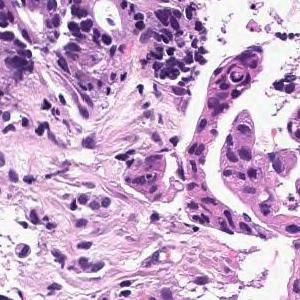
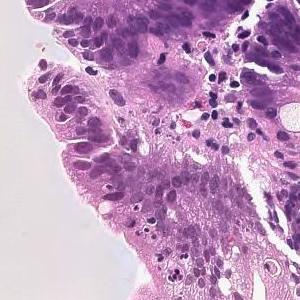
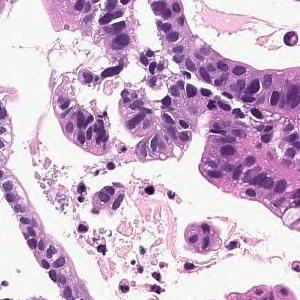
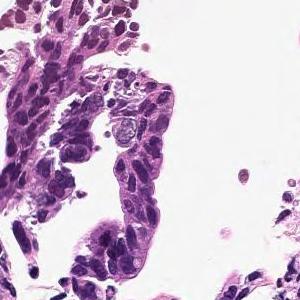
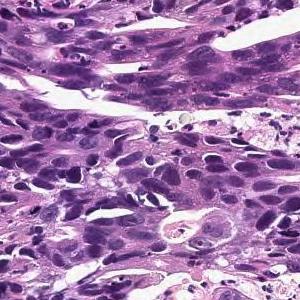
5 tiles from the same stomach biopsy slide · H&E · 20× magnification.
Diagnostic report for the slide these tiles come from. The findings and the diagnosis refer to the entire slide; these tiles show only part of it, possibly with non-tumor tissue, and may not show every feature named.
In the superficial epithelium, tumor tissue that invades by forming medium-sized to small, irregular ducts is observed. moderately differentiated tubular adenocarcinoma.
